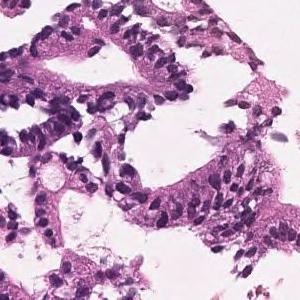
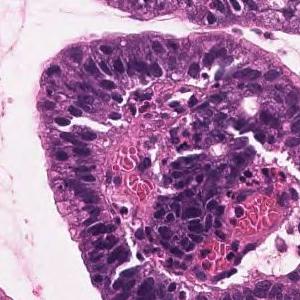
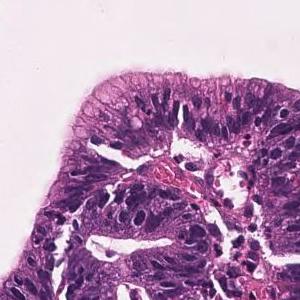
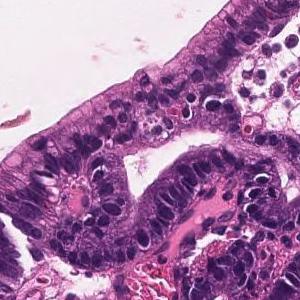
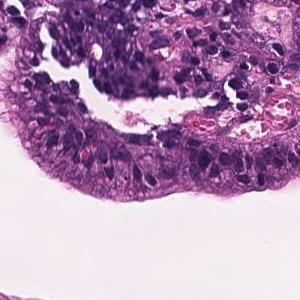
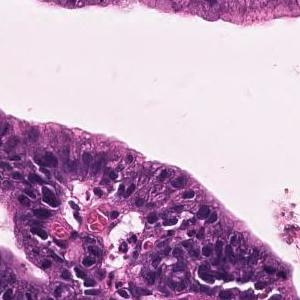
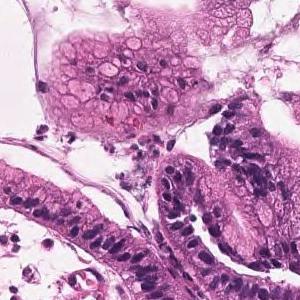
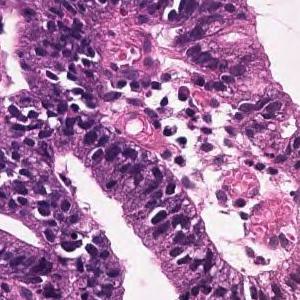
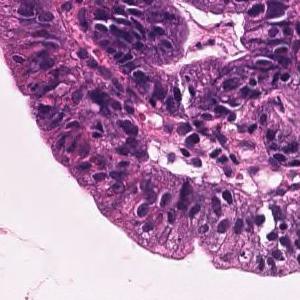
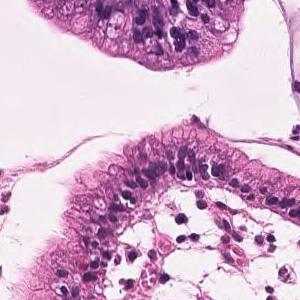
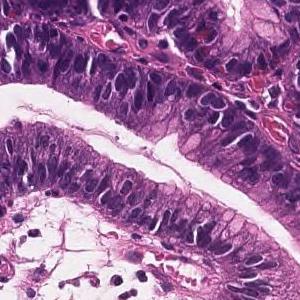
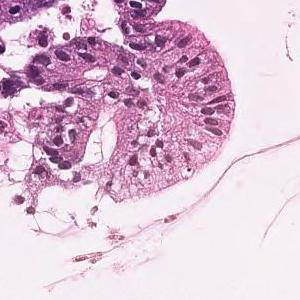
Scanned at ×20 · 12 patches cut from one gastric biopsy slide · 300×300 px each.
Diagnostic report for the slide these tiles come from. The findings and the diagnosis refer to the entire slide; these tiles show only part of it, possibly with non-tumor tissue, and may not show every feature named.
On the superficial epithelium, tumor tissue that infiltrates by forming medium-sized papillary or small irregular ducts is observed. Papillary adenocarcinoma
